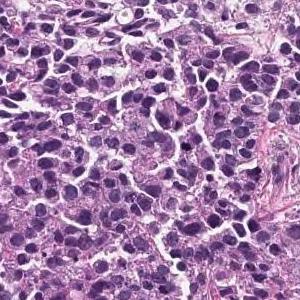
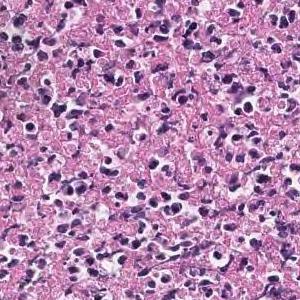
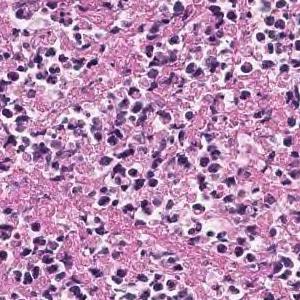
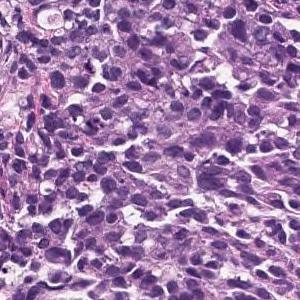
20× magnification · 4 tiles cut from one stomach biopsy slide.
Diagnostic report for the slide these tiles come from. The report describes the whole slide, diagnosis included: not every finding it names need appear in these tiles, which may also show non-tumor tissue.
The superficial epithelium shows a large sheet-like shape, and some tumor tissue infiltrates with small irregular ducts. Poorly differentiated adenocarcinoma, solid-type
Tumor subtype: poorly differentiated adenocarcinoma, solid type, a category of the Japanese Classification of Gastric Carcinoma; in the WHO 2019 classification it is tubular adenocarcinoma, poorly differentiated.
